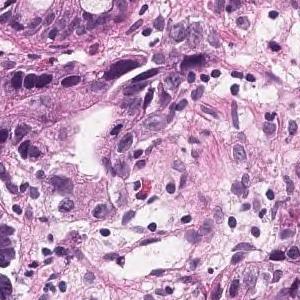
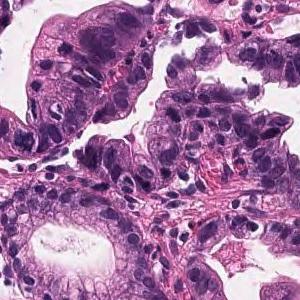
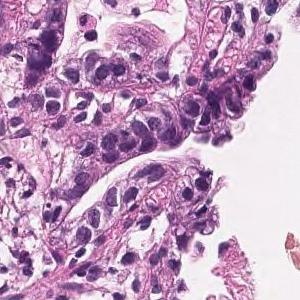
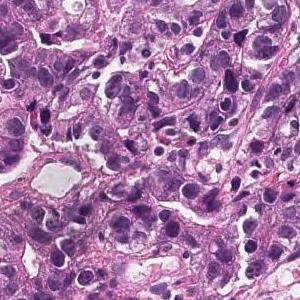
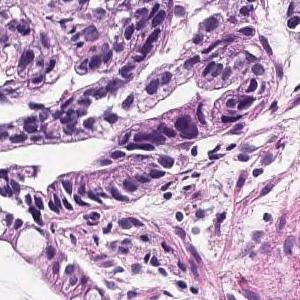
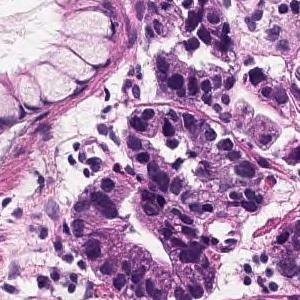
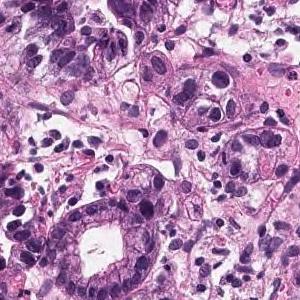
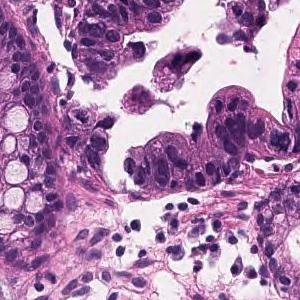
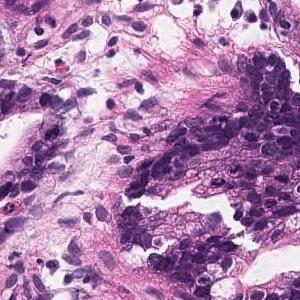
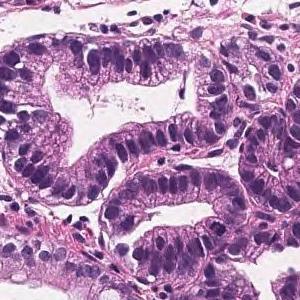
Scanned at ×20 · H&E stain · 10 patches cut from one gastric biopsy slide.
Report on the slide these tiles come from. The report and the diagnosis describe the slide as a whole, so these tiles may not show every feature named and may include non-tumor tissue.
Atypical epithelium showing nuclear enlargement builds irregular ducts and grows densely. moderately differentiated tubular adenocarcinoma
